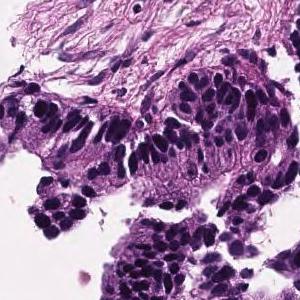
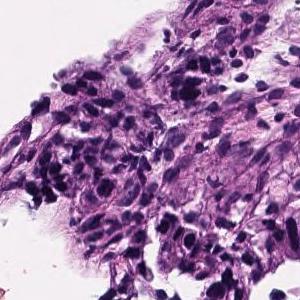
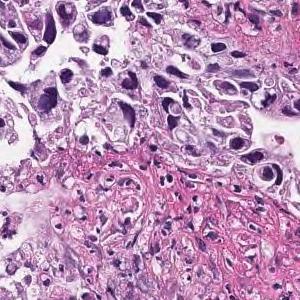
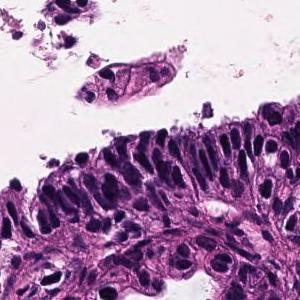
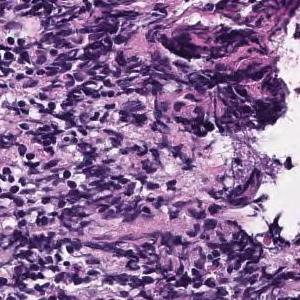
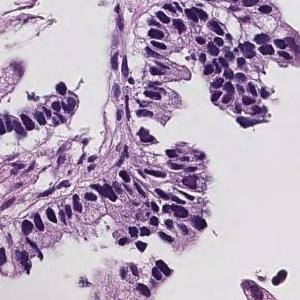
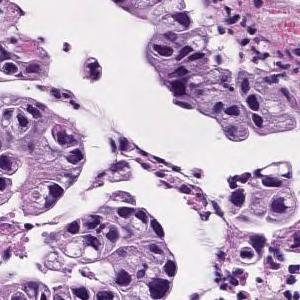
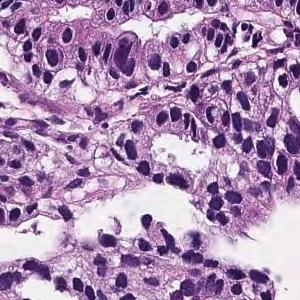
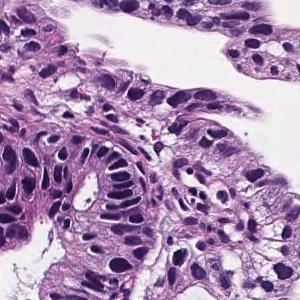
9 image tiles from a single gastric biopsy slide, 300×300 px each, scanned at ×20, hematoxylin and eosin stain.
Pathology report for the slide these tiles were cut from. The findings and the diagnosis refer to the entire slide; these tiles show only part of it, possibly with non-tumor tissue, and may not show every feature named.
Tumor cells are large, highly columnar, large club-shaped nuclei, and are associated with chromatin aggregation. Papillary adenocarcinoma.
